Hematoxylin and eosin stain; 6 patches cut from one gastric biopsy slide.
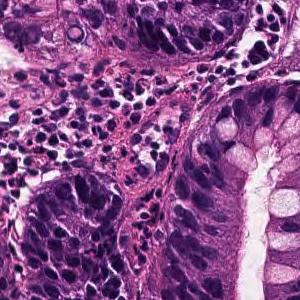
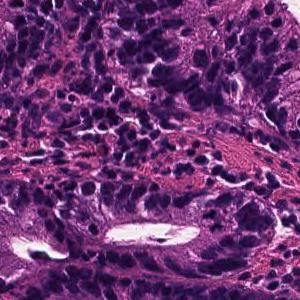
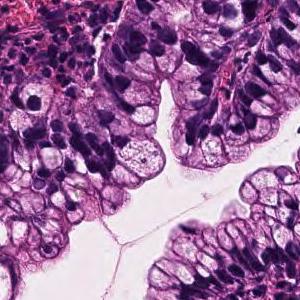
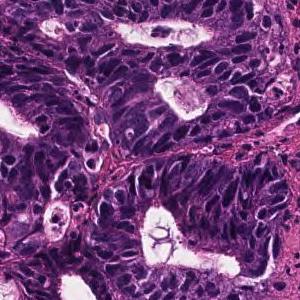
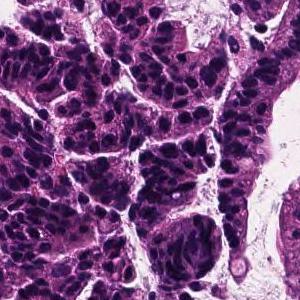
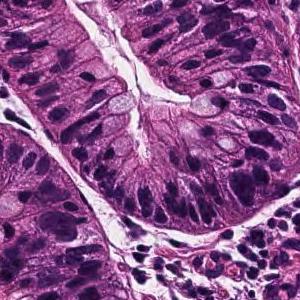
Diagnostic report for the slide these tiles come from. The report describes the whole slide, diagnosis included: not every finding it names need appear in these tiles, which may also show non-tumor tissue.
Tumor cells are large, highly columnar, large club-shaped nuclei, and are associated with chromatin aggregation. Papillary adenocarcinoma.
